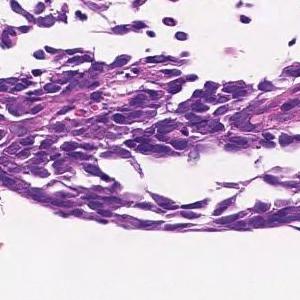
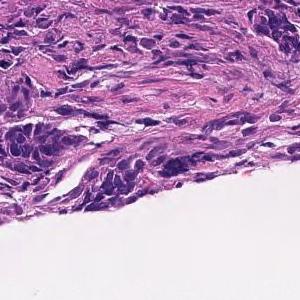
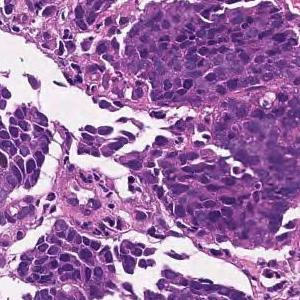
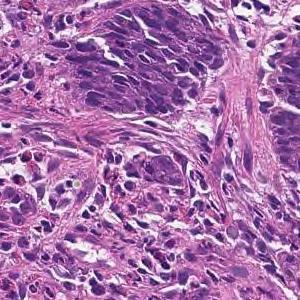
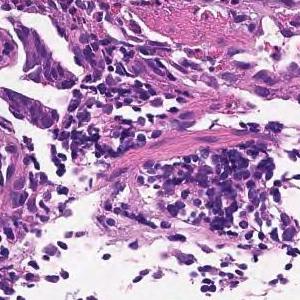
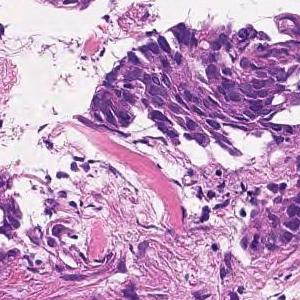
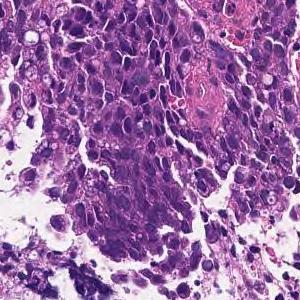
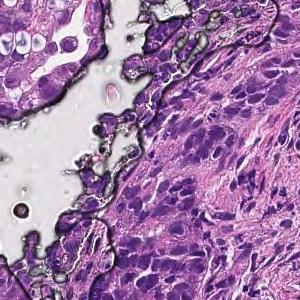
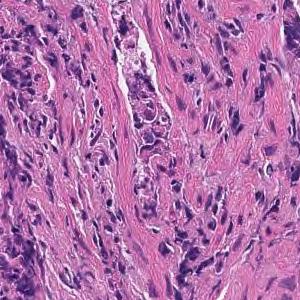
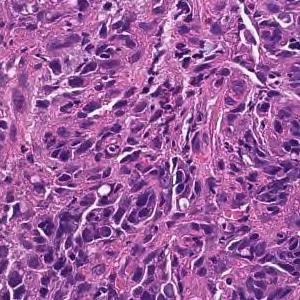
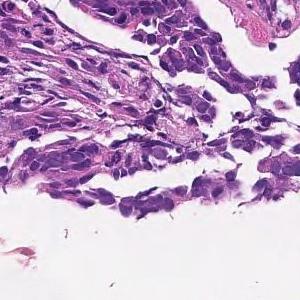
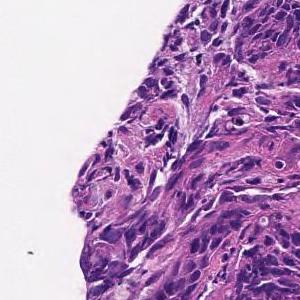
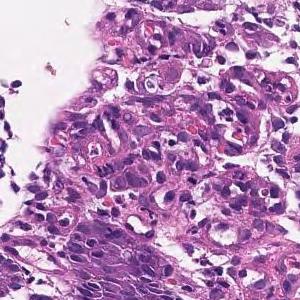
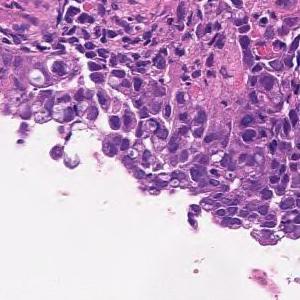
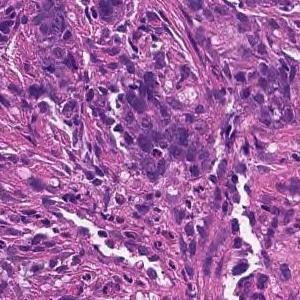
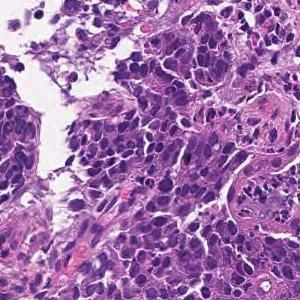
16 image tiles from a single gastric biopsy slide; H&E stain; ×20.
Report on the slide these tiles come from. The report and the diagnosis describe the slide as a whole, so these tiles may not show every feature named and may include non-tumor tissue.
Tumor tissue consisting of cord-like or small, irregular glandular ducts fused and infiltrated is observed in the superficial epithelium. Poorly differentiated adenocarcinoma, non-solid type
The non-solid type named here is a Japanese Classification of Gastric Carcinoma category.
